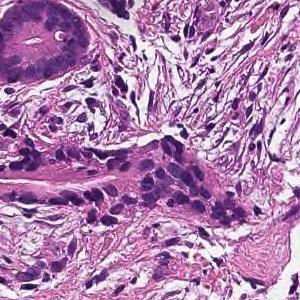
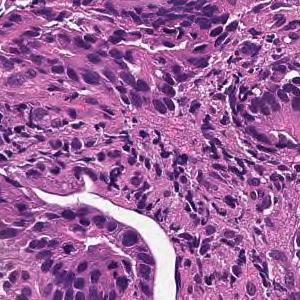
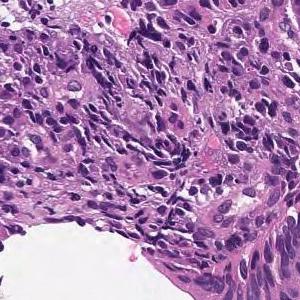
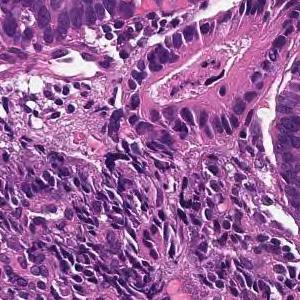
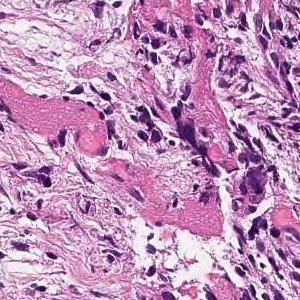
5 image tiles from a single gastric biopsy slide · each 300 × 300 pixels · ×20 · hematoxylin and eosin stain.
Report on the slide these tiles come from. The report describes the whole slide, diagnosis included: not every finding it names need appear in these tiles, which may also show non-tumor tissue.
From the superficial epithelium to the muscularis mucosae, tumor tissue consisting of medium-sized and irregular glandular ducts infiltrating is observed. Well differentiated tubular adenocarcinoma
